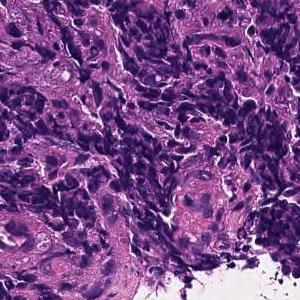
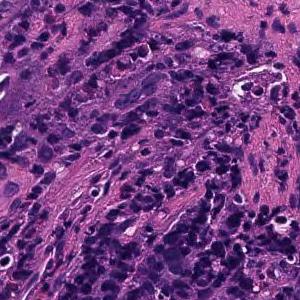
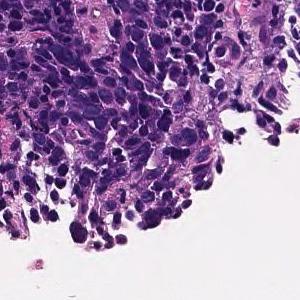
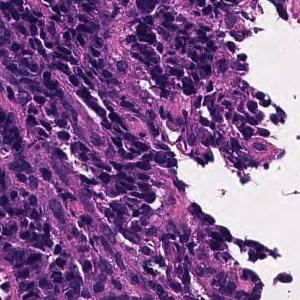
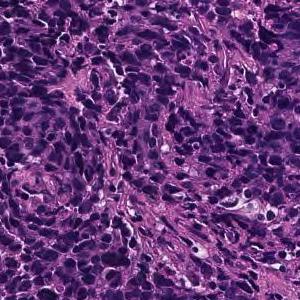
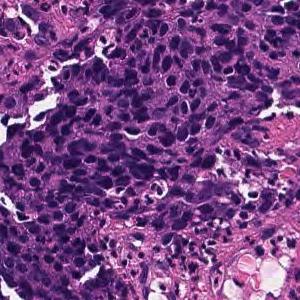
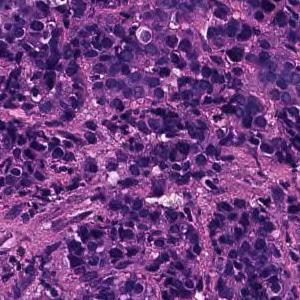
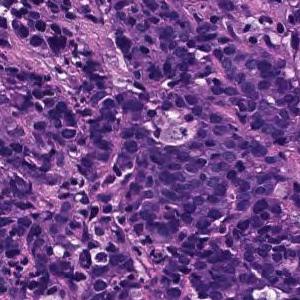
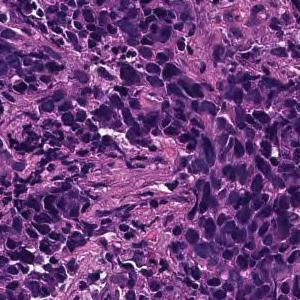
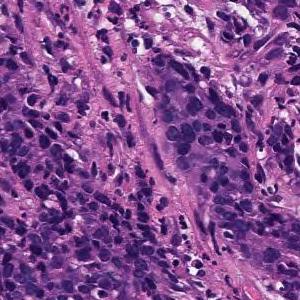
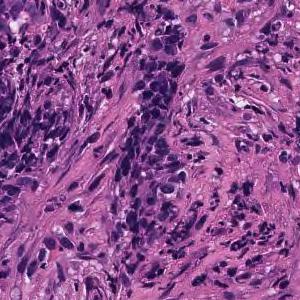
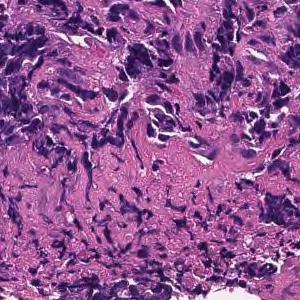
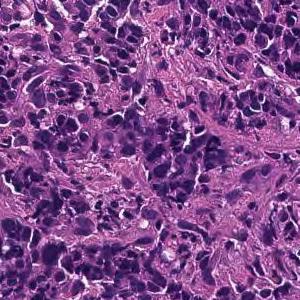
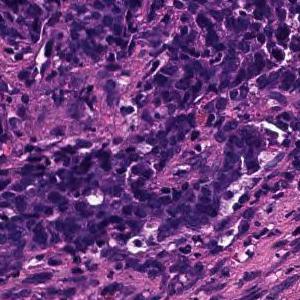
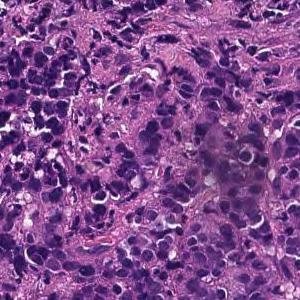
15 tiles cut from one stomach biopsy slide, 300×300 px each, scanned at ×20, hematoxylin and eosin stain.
Pathology report for the biopsy slide these tiles were cut from. What the report and the diagnosis say applies to the whole slide; these tiles may miss some of the features named and may include tissue that is not tumor.
Tumor tissue consisting of cord-like or small, irregular glandular ducts fused and infiltrated is observed in the superficial epithelium. Poorly differentiated adenocarcinoma, non-solid type
The term "non-solid type" comes from the Japanese Classification of Gastric Carcinoma.
